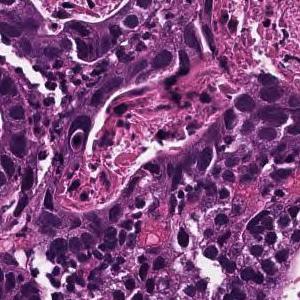
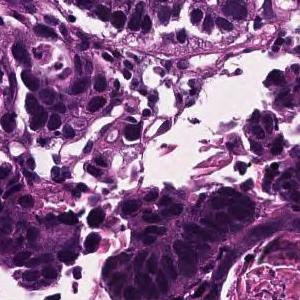
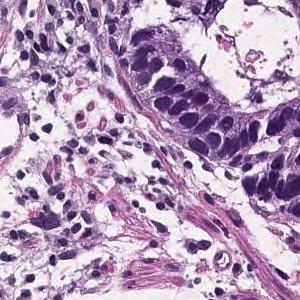
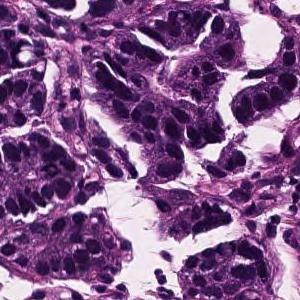
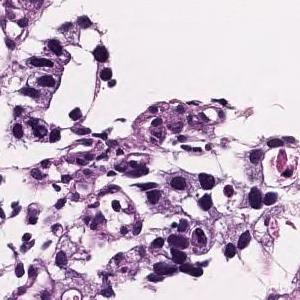
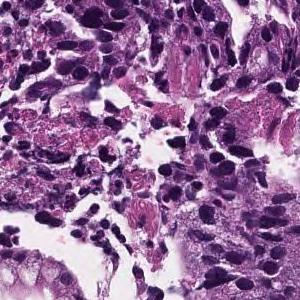
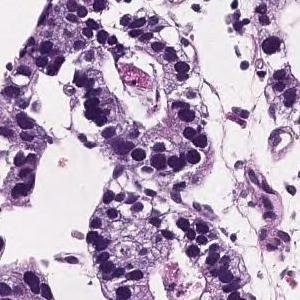
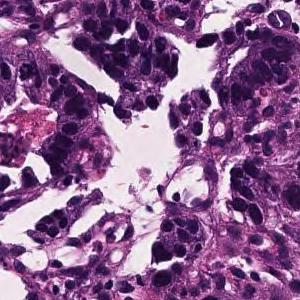
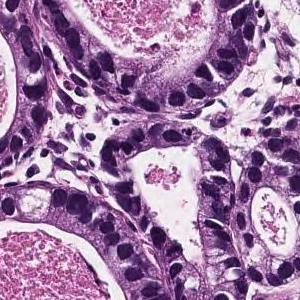
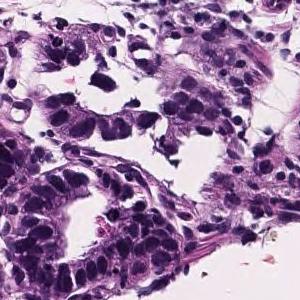
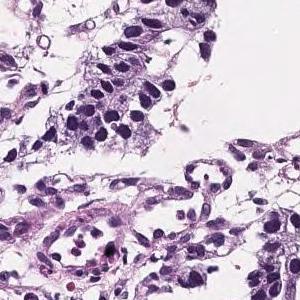
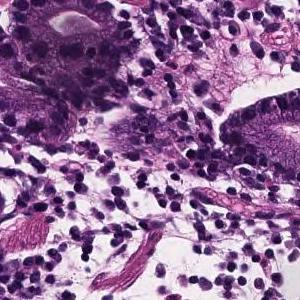
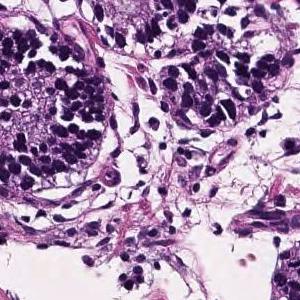
Scanned at ×20 · hematoxylin and eosin stain · 13 image tiles from a single gastric biopsy slide · each 300 × 300 pixels.
Report on the slide these tiles come from. What the report and the diagnosis say applies to the whole slide; these tiles may miss some of the features named and may include tissue that is not tumor.
In the superficial epithelium, tumor tissue that invades by forming medium-sized to small, irregular ducts is observed. Well differentiated tubular adenocarcinoma.
